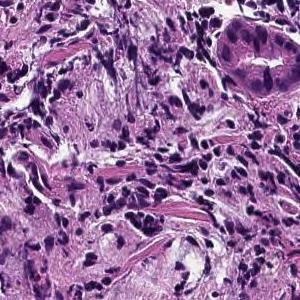
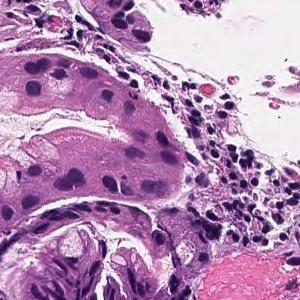
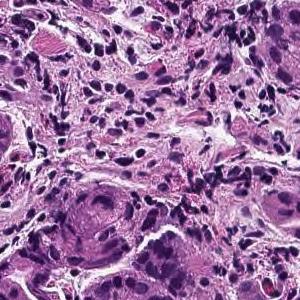
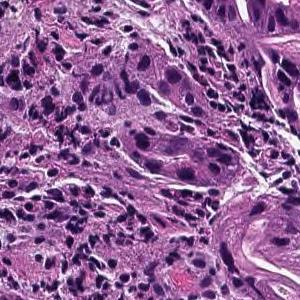
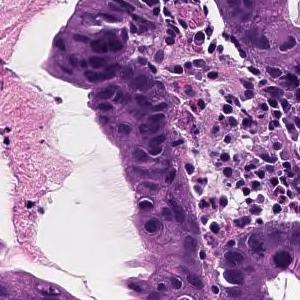
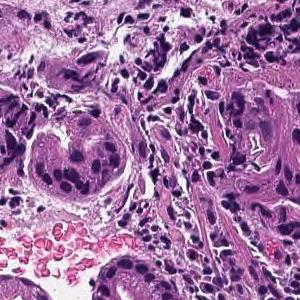
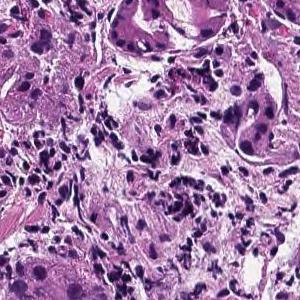
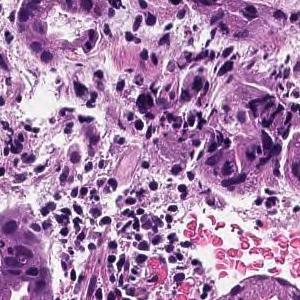
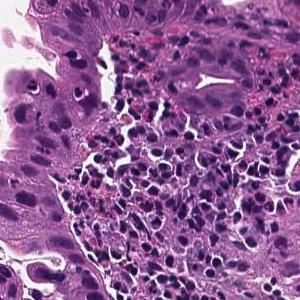
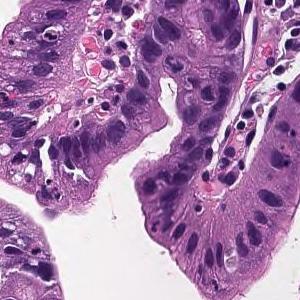
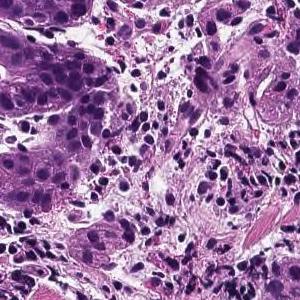
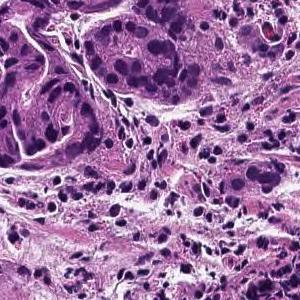
Scanned at ×20, hematoxylin and eosin stain, 12 tiles from the same stomach biopsy slide.
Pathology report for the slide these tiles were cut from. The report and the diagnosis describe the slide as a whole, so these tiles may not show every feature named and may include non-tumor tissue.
From the superficial epithelium to the muscularis mucosae, tumor tissue consisting of medium-sized and irregular glandular ducts infiltrating is observed. Well differentiated tubular adenocarcinoma
